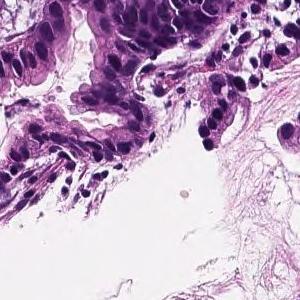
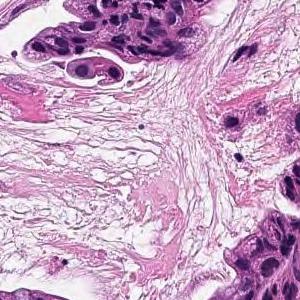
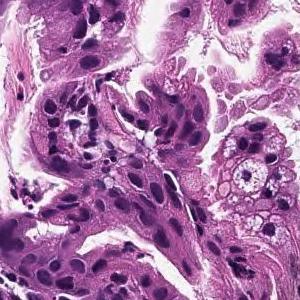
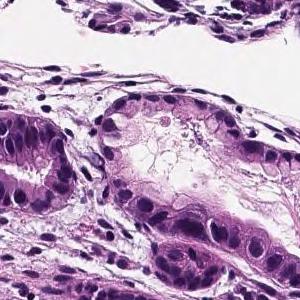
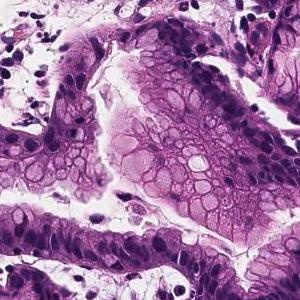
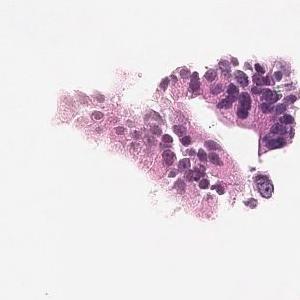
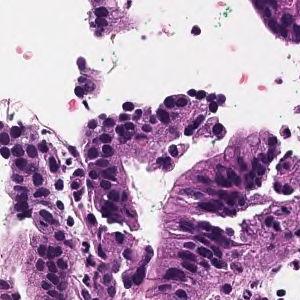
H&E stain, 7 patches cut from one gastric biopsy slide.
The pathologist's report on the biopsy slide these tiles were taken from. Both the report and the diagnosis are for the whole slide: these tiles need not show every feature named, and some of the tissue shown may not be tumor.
Tumor cells are large, highly columnar, large club-shaped nuclei, and are associated with chromatin aggregation. Papillary adenocarcinoma.
